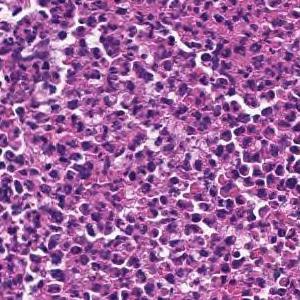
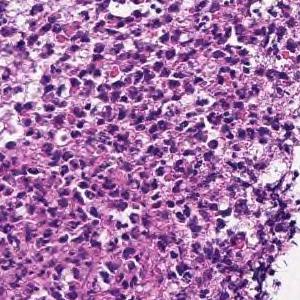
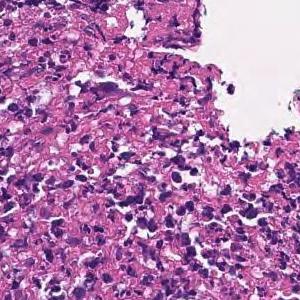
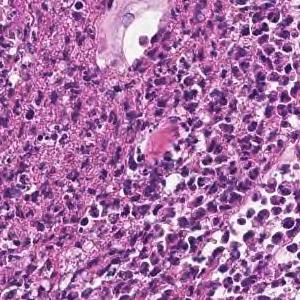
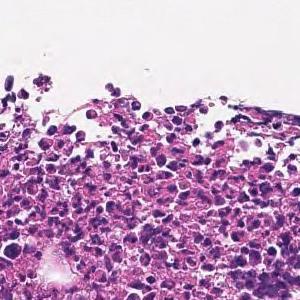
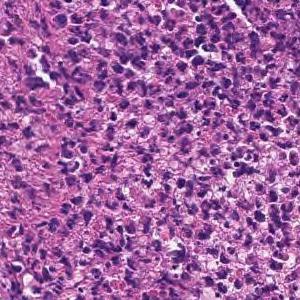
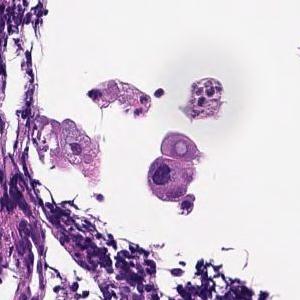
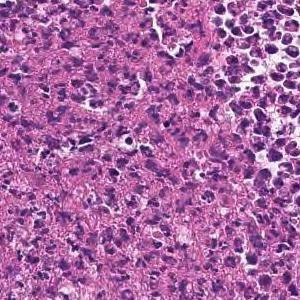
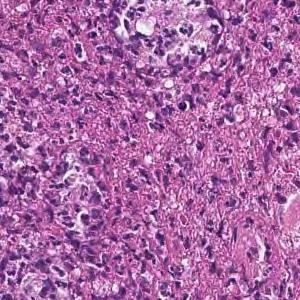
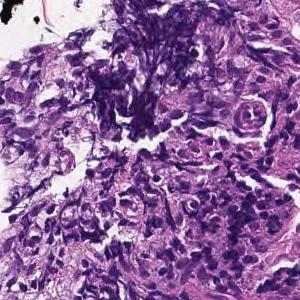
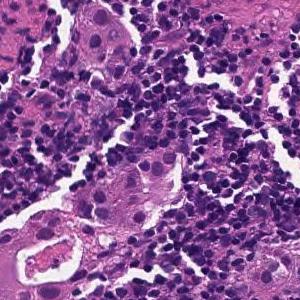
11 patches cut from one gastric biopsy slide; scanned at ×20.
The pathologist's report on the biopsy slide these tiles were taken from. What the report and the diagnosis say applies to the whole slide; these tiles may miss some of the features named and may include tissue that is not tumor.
In the superficial epithelium, tumor tissue infiltrated by partial fusion of medium-sized to small, irregular glandular ducts is observed. moderately differentiated tubular adenocarcinoma
